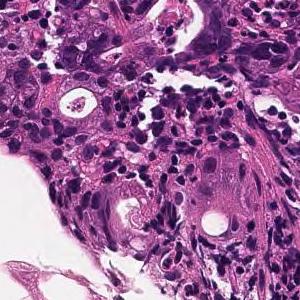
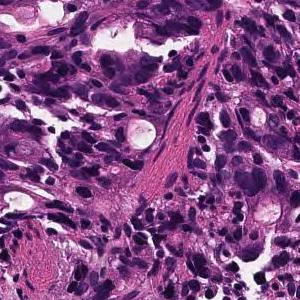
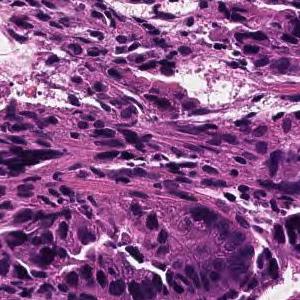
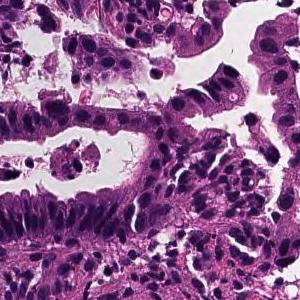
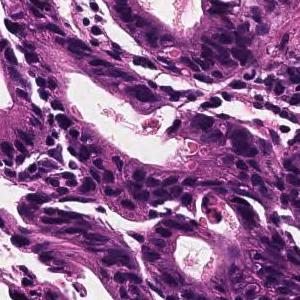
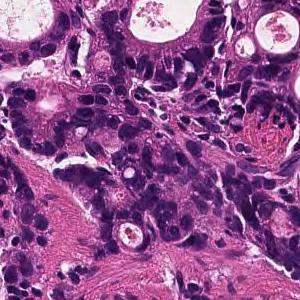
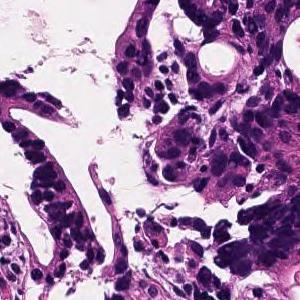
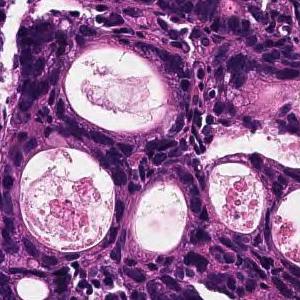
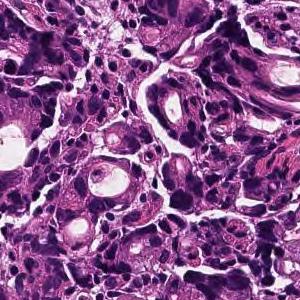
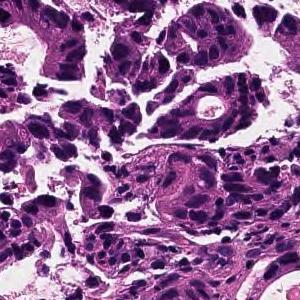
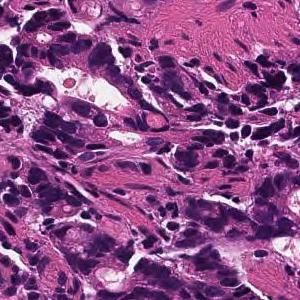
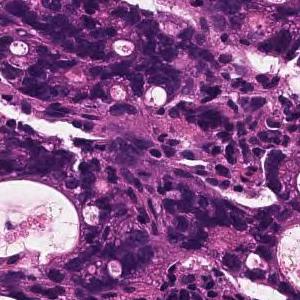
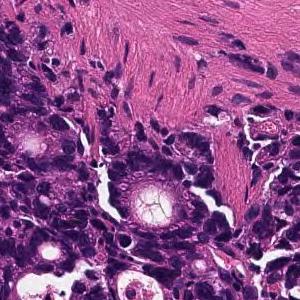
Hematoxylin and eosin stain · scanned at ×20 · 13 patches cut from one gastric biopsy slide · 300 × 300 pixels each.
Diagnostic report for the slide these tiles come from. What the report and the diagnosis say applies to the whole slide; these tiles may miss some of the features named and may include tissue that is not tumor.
In the superficial epithelium, tumor tissue that invades by forming medium-sized to small, irregular ducts is observed. moderately differentiated tubular adenocarcinoma.
